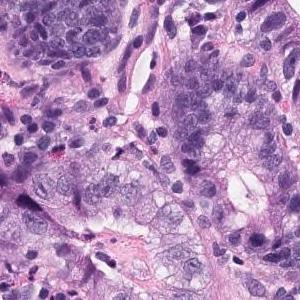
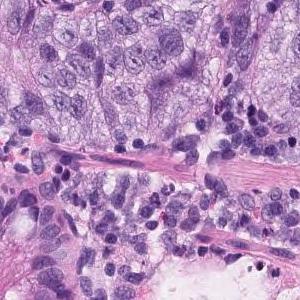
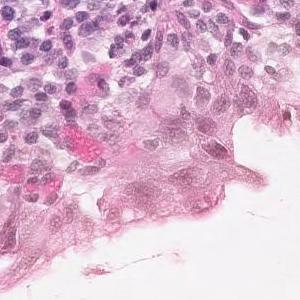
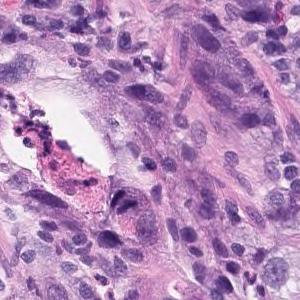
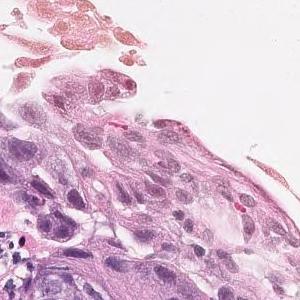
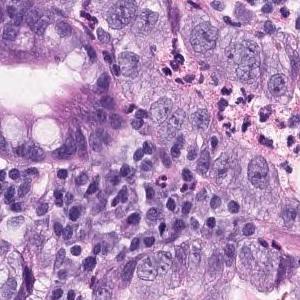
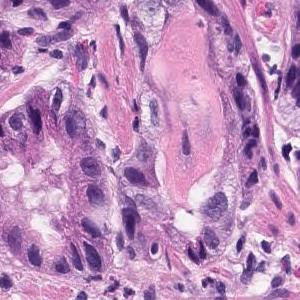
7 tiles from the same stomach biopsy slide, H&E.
Pathology report for the biopsy slide these tiles were cut from. The report and the diagnosis cover the entire slide, so not every feature they name need be visible here, and some tissue shown may not be tumor.
In the superficial epithelium, tumor tissue that invades by forming medium-sized to small irregular glandular ducts is observed. Moderately differentiated adenocarcinoma.
Histologic type: Moderately differentiated tubular adenocarcinoma.
